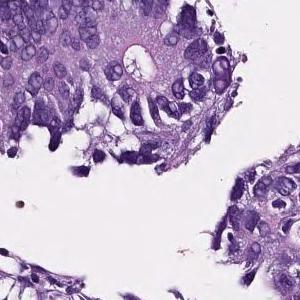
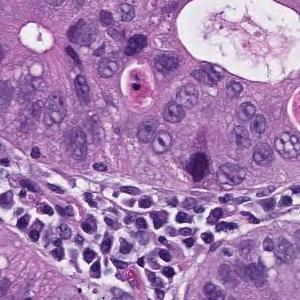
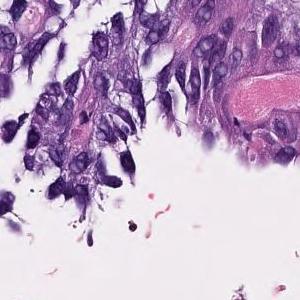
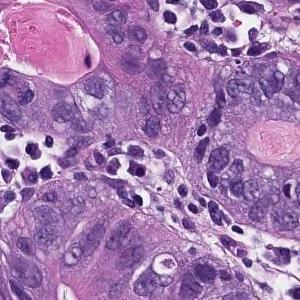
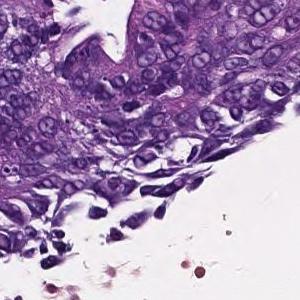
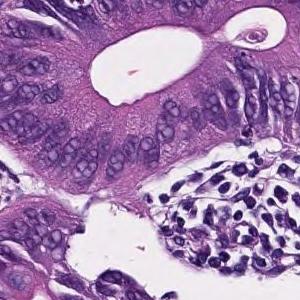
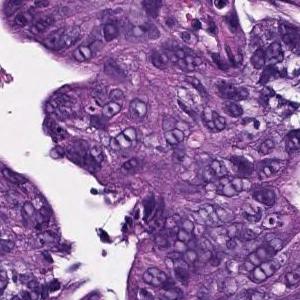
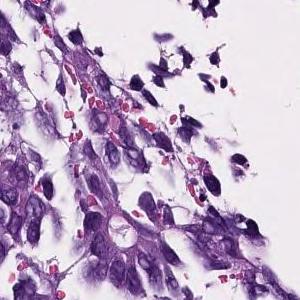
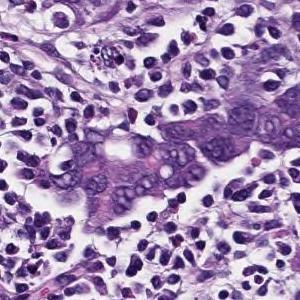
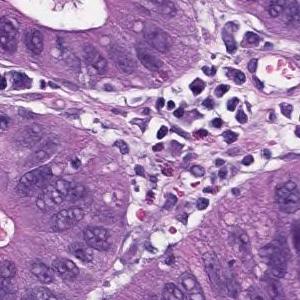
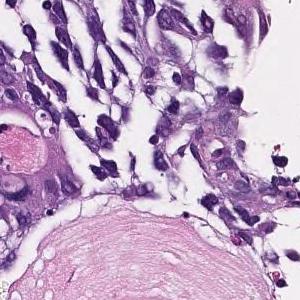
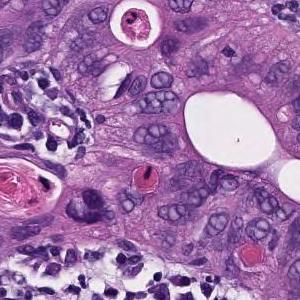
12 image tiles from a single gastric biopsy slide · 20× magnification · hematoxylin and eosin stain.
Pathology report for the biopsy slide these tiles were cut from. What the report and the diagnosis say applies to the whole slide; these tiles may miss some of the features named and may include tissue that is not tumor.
In the superficial epithelium, tumor tissue that invades by forming medium-sized to small, irregular ducts is observed. moderately differentiated tubular adenocarcinoma.
